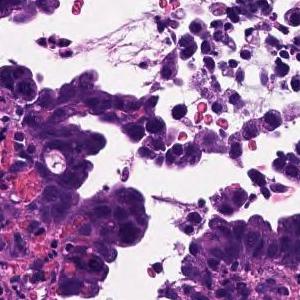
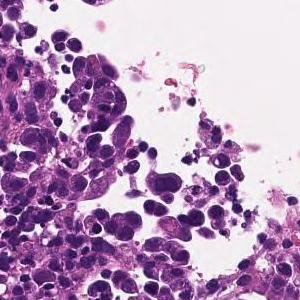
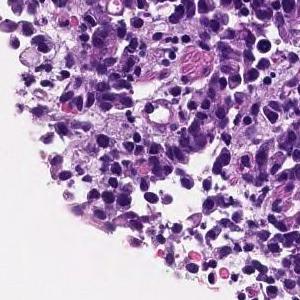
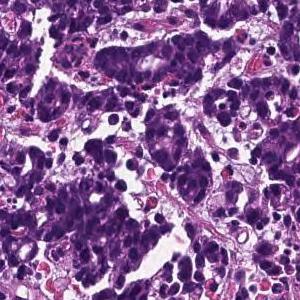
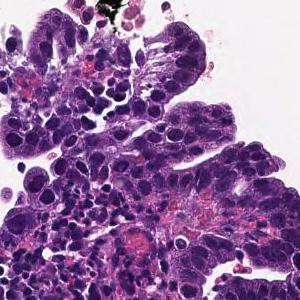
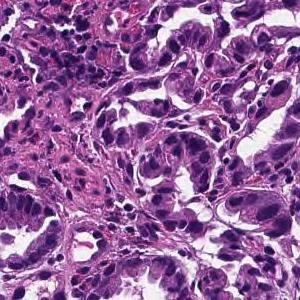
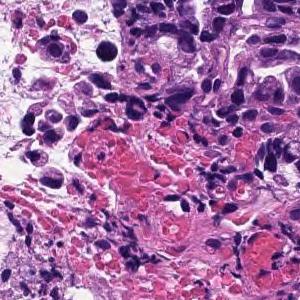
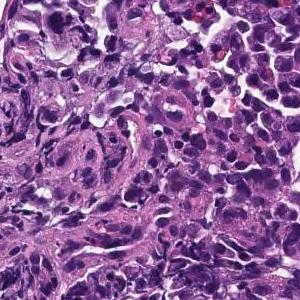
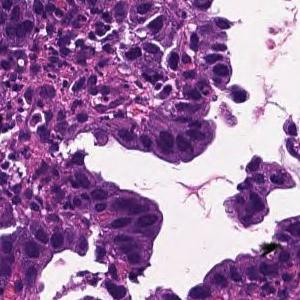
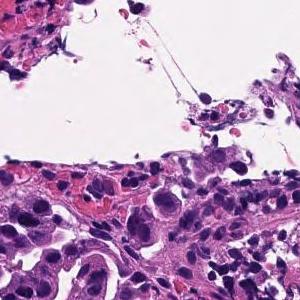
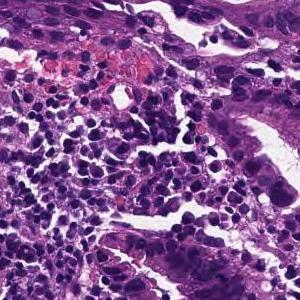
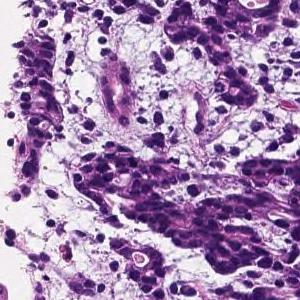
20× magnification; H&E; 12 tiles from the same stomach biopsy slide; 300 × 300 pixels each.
Pathology report for the biopsy slide these tiles were cut from. What the report and the diagnosis say applies to the whole slide; these tiles may miss some of the features named and may include tissue that is not tumor.
In the superficial epithelium, tumor tissue that invades by forming medium-sized to small, irregular ducts is observed. moderately differentiated tubular adenocarcinoma.
